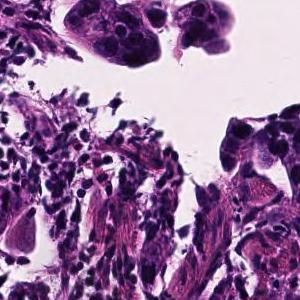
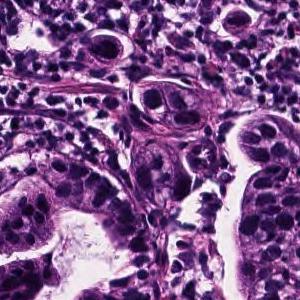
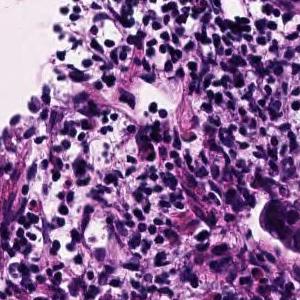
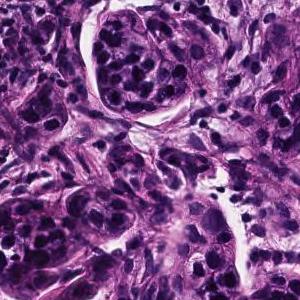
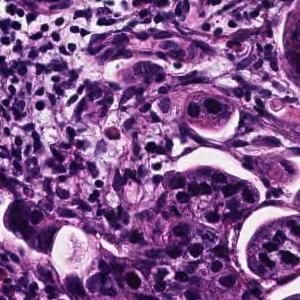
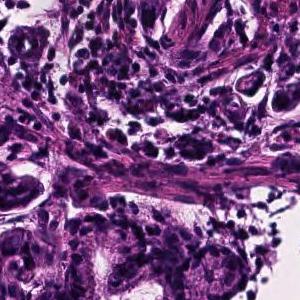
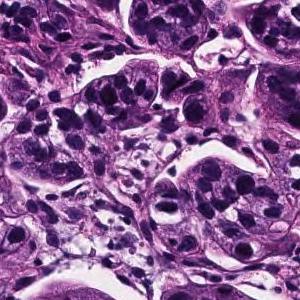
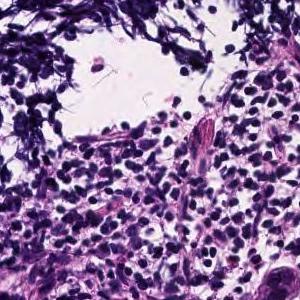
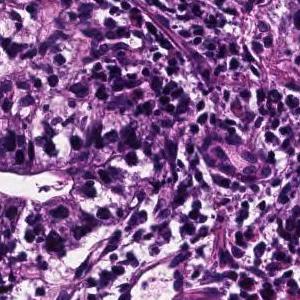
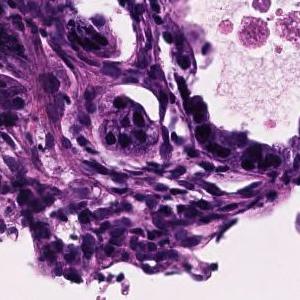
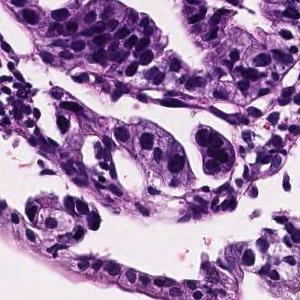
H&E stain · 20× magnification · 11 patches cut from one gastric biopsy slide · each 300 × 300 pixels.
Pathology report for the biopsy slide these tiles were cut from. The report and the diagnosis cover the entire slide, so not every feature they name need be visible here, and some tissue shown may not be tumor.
Tumor tissue consisting of cord-like or small, irregular glandular ducts fused and infiltrated is observed in the superficial epithelium. Poorly differentiated adenocarcinoma, non-solid type
The non-solid type named here is a Japanese Classification of Gastric Carcinoma category.
